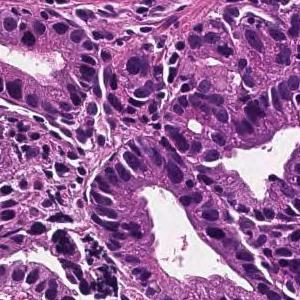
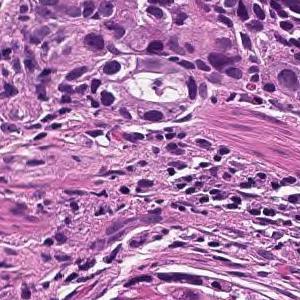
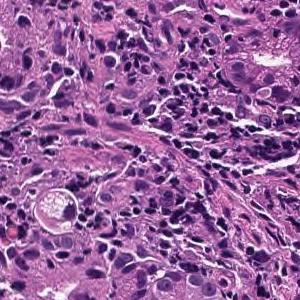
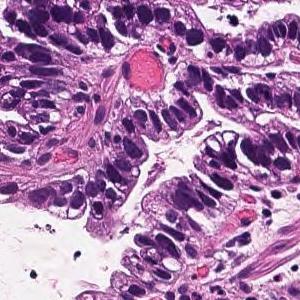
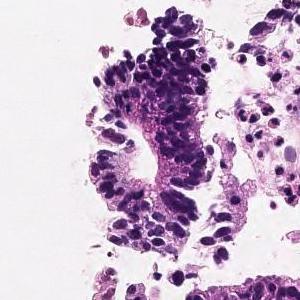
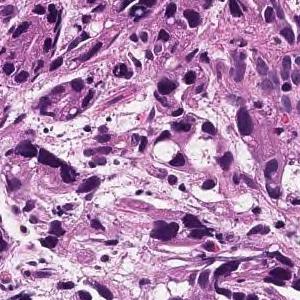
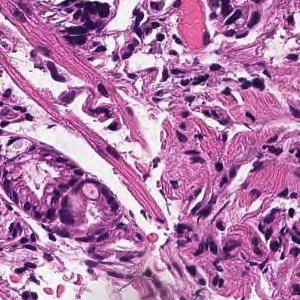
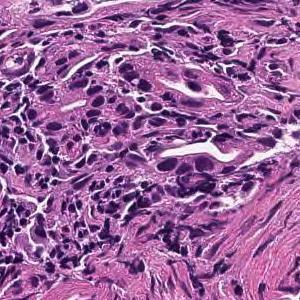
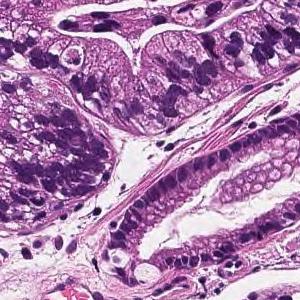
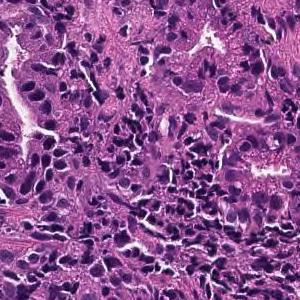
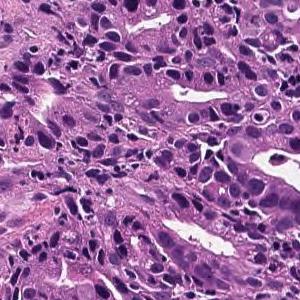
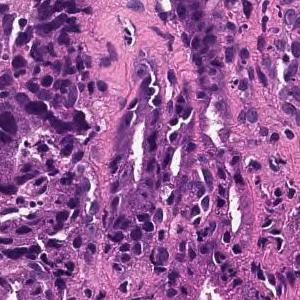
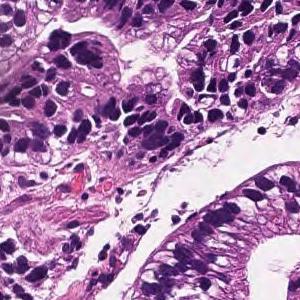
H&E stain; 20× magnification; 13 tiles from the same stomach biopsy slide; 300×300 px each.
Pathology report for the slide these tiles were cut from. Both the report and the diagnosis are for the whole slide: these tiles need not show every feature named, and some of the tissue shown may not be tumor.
On the superficial epithelium, tumor tissue is found in which medium-sized irregular gland ducts fuse with each other and infiltrate. moderately differentiated tubular adenocarcinoma or Poorly differentiated adenocarcinoma, non-solid type
Histological subtype: Moderately to poorly differentiated adenocarcinoma.
"Non-solid type" is a category of the Japanese Classification of Gastric Carcinoma.
